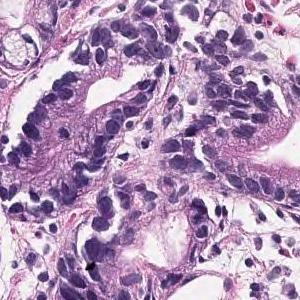
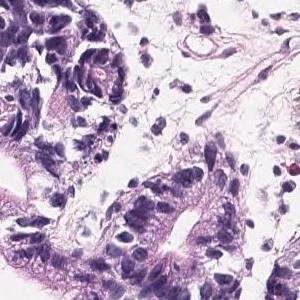
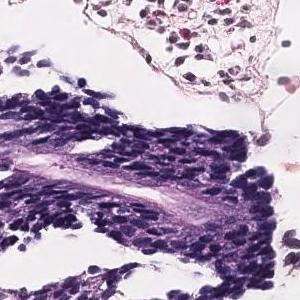
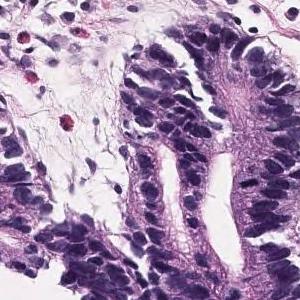
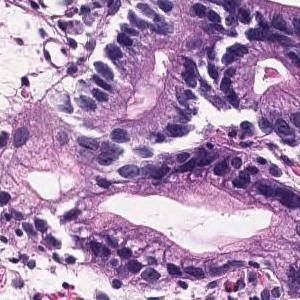
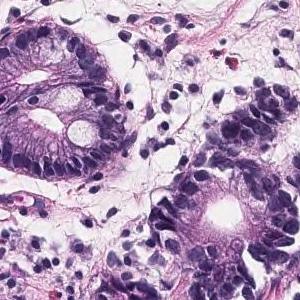
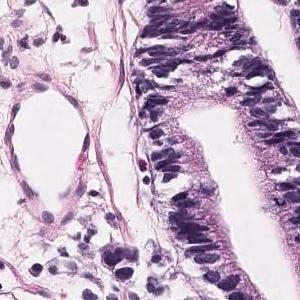
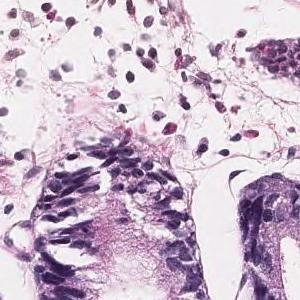
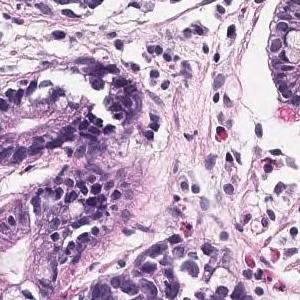
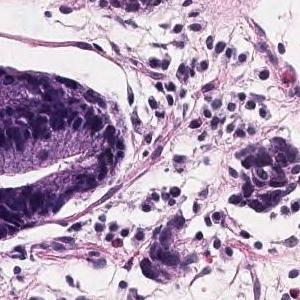
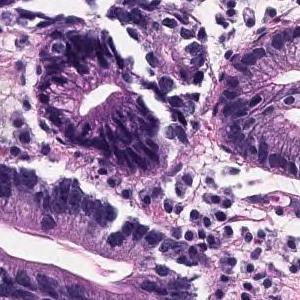
×20, hematoxylin and eosin stain, 11 tiles cut from one stomach biopsy slide.
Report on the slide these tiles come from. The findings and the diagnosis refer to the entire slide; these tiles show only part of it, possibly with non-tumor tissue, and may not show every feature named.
On the superficial epithelium, tumor tissue consisting of large, irregular glandular ducts partially fused and infiltrated is observed. Well differentiated tubular adenocarcinoma
